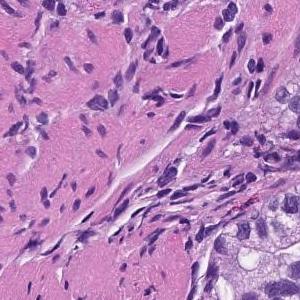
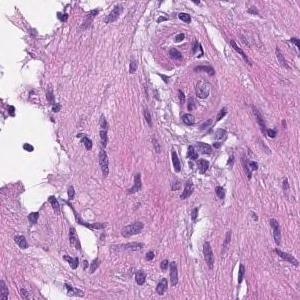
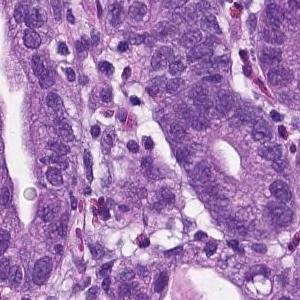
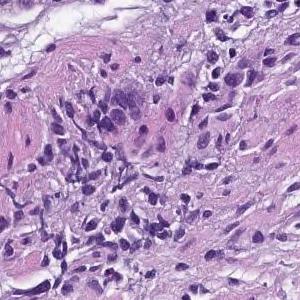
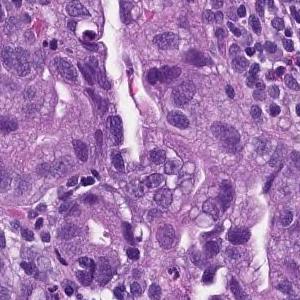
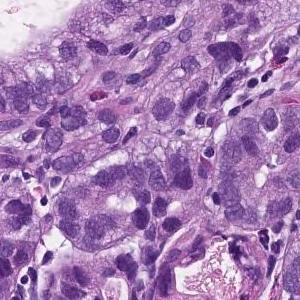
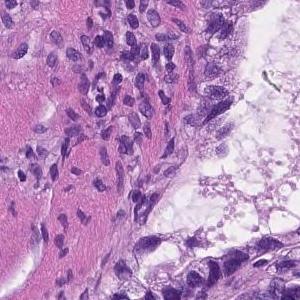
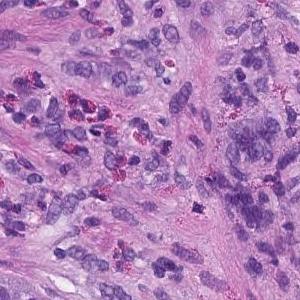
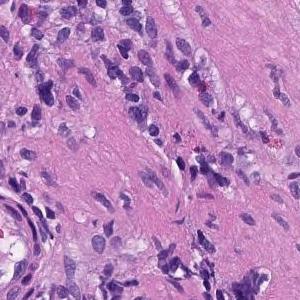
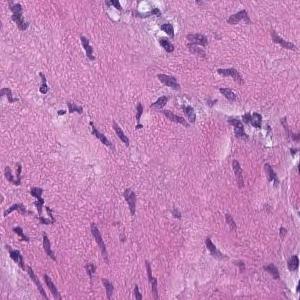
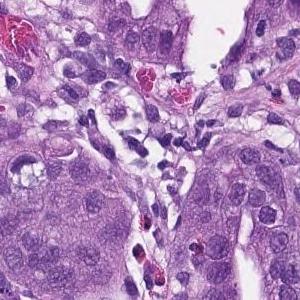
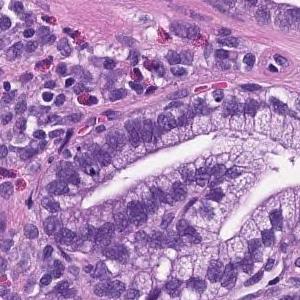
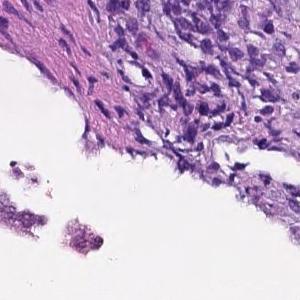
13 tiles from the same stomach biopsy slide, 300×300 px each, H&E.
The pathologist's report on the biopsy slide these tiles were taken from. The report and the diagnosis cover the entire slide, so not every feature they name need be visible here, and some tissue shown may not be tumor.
From the superficial epithelium to the muscularis mucosae, tumor tissue consisting of medium-sized and irregular glandular ducts infiltrating is observed. Well differentiated tubular adenocarcinoma
